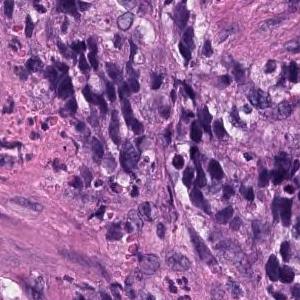
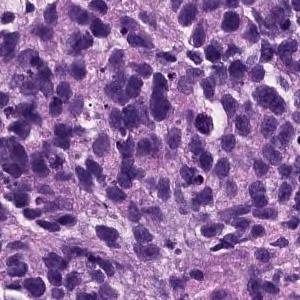
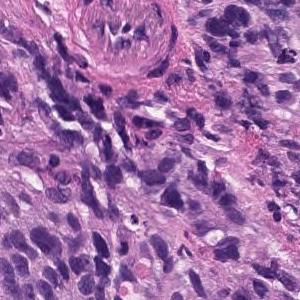
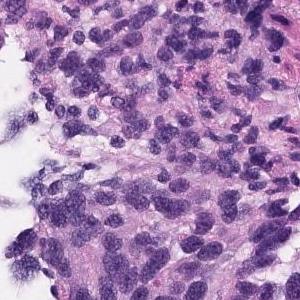
4 image tiles from a single gastric biopsy slide · each 300 × 300 pixels · 20× magnification · H&E stain.
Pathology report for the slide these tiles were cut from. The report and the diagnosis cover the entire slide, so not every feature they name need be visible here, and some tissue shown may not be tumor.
Atypical l cells with atypical nuclei under the mucosa growing in isolation and scattered. Poorly differentiated adenocarcinoma (poorly differentiated adenocarcinoma, non-solid type)
Tumor subtype: poorly differentiated adenocarcinoma, non-solid type.
The non-solid type named here is a Japanese Classification of Gastric Carcinoma category.
